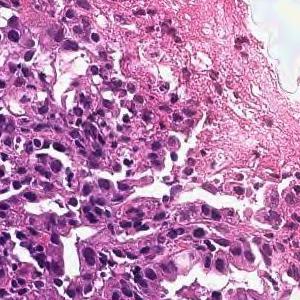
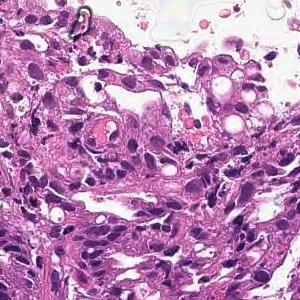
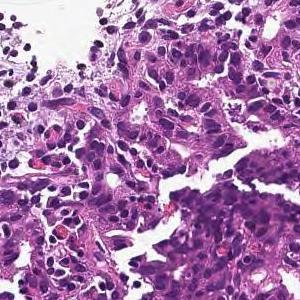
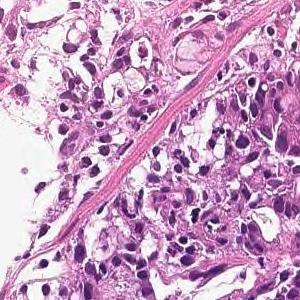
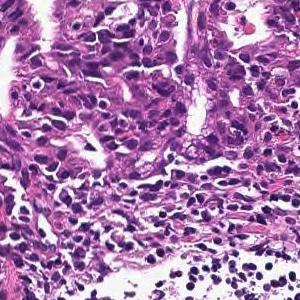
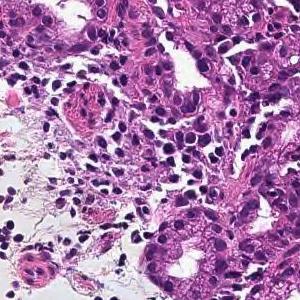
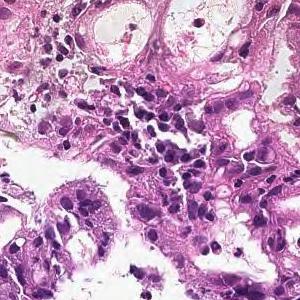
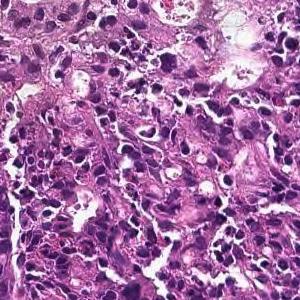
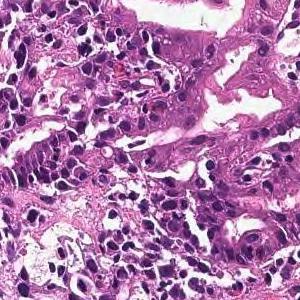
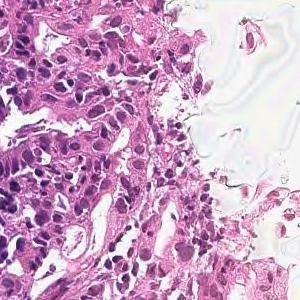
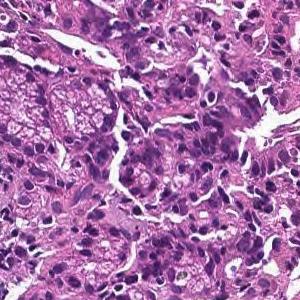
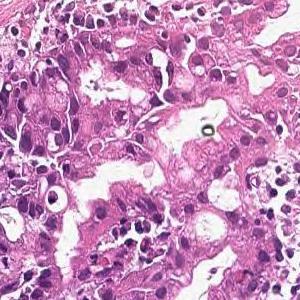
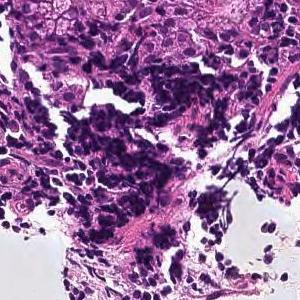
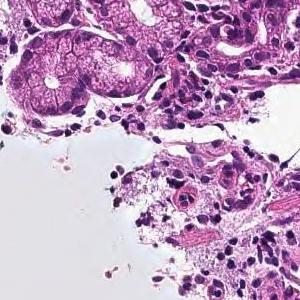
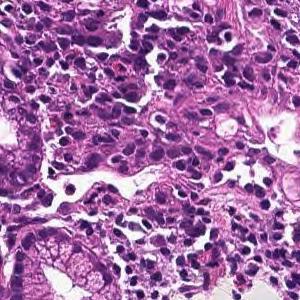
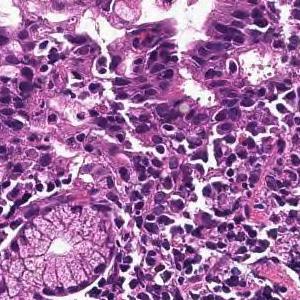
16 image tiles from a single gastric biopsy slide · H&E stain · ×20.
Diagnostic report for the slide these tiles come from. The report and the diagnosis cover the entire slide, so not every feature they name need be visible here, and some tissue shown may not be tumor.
In the superficial epithelium, tumor tissue that invades by forming medium-sized to small, irregular ducts is observed. moderately differentiated tubular adenocarcinoma.
